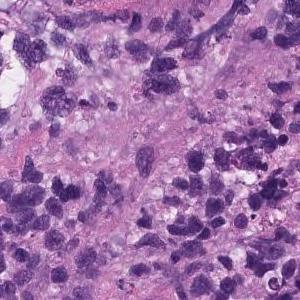
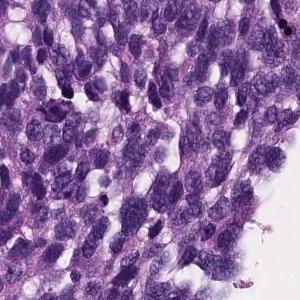
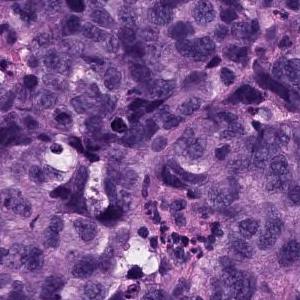
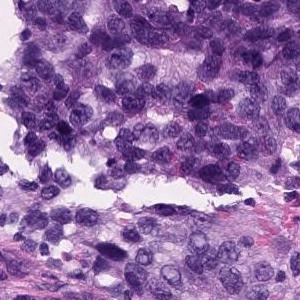
Hematoxylin and eosin stain · 4 patches cut from one gastric biopsy slide.
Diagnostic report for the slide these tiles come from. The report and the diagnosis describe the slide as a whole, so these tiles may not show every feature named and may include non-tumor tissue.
Atypical l cells with atypical nuclei under the mucosa growing in isolation and scattered. Poorly differentiated adenocarcinoma (poorly differentiated adenocarcinoma, non-solid type)
Subtype: Poorly differentiated adenocarcinoma, non-solid type.
The non-solid type named here is a Japanese Classification of Gastric Carcinoma category.
